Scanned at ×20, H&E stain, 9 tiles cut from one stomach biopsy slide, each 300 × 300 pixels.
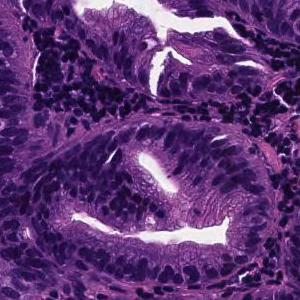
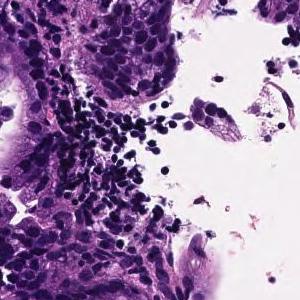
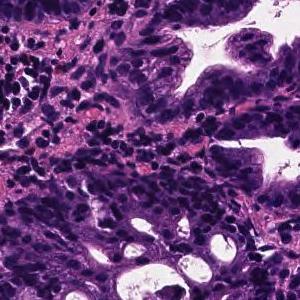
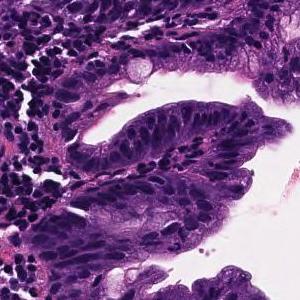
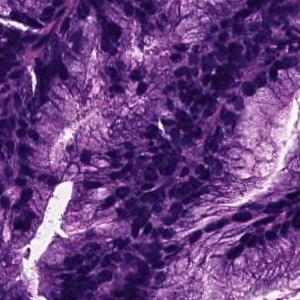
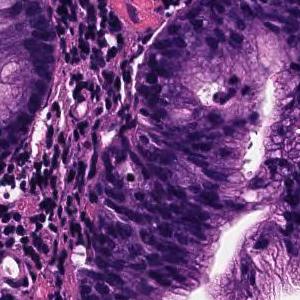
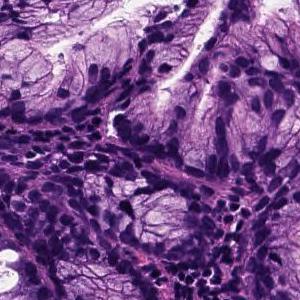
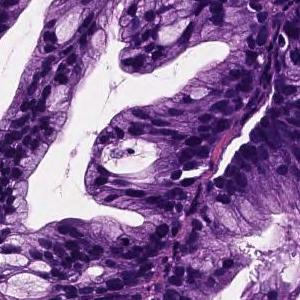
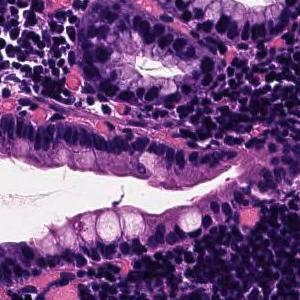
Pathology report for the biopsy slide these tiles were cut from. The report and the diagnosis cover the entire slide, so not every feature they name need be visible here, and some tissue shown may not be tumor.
On the superficial epithelium, tumor tissue that infiltrates by forming medium-sized papillary or small irregular ducts is observed. Papillary adenocarcinoma
